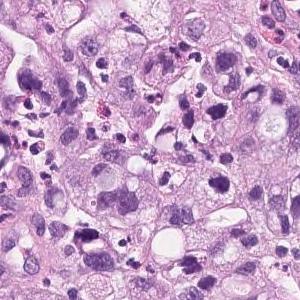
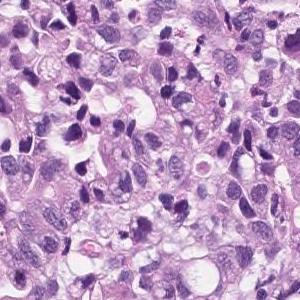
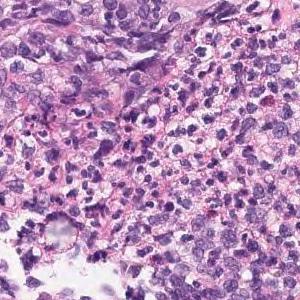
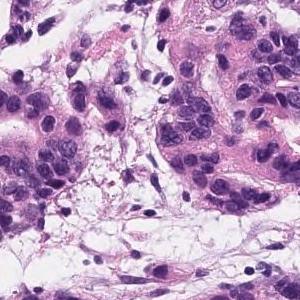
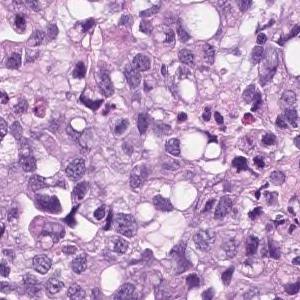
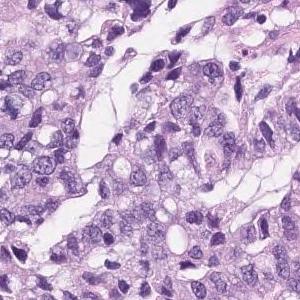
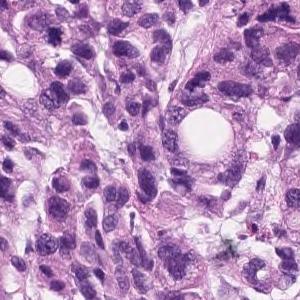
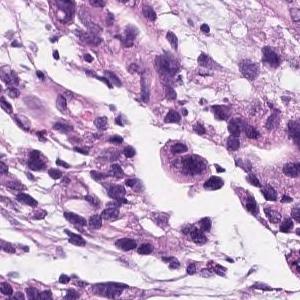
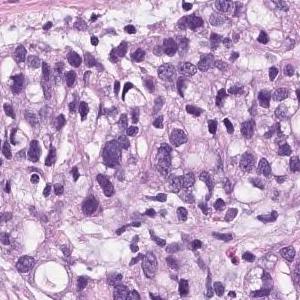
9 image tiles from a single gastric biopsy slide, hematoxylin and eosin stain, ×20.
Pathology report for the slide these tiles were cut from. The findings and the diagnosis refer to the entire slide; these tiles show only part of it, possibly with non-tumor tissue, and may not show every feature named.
Group 5, Adenocarcinoma. Poorly differentiated adenocarcinoma, non-solid type
The non-solid type named here is a Japanese Classification of Gastric Carcinoma category.
